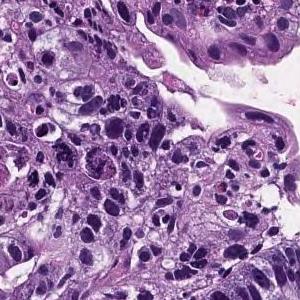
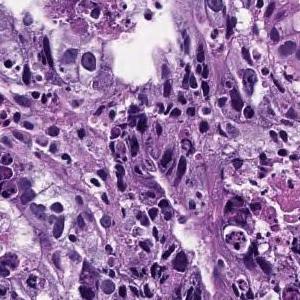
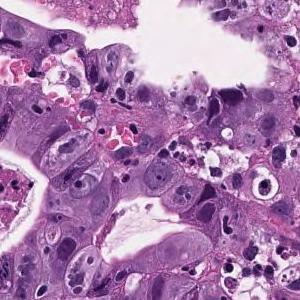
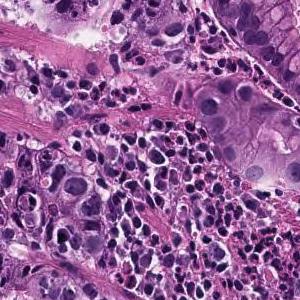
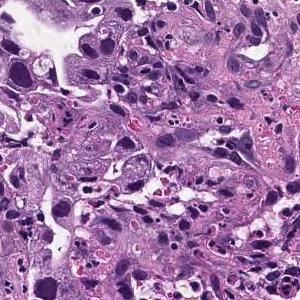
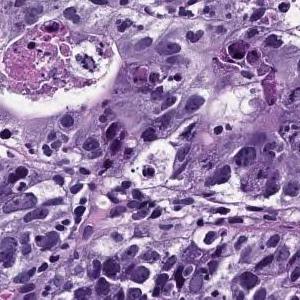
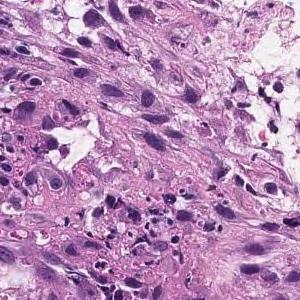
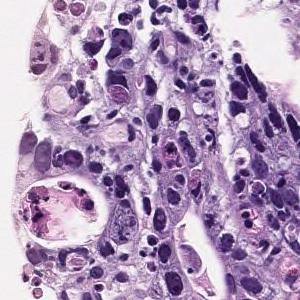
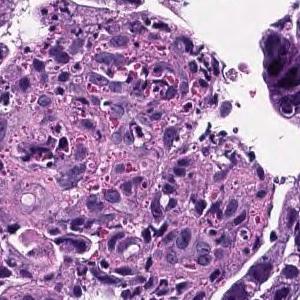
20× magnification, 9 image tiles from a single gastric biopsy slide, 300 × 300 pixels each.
Pathology report for the slide these tiles were cut from. The report and the diagnosis describe the slide as a whole, so these tiles may not show every feature named and may include non-tumor tissue.
In the superficial epithelium, medium to small irregular gland ducts are formed, and in some cases, the ducts are fused to show solid alveolar lesions and infiltrating tumor tissue is observed. Moderately to poorly differentiated adenocarcinoma
